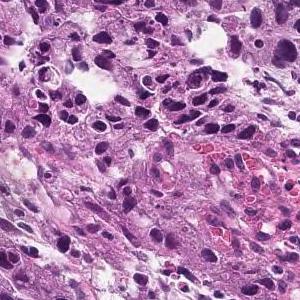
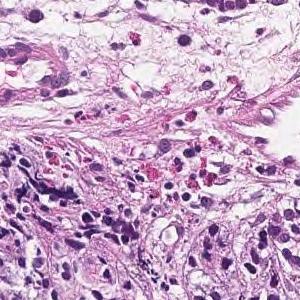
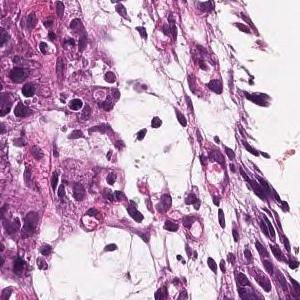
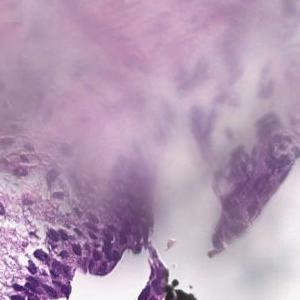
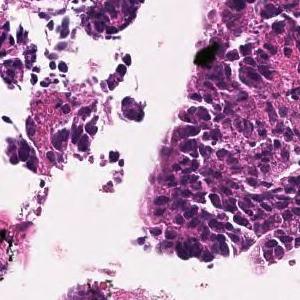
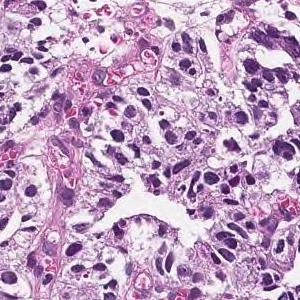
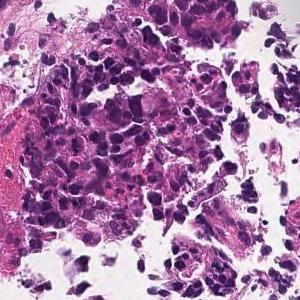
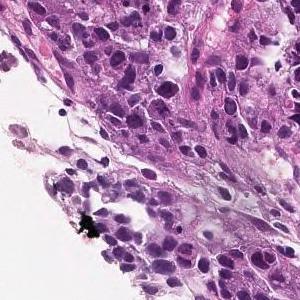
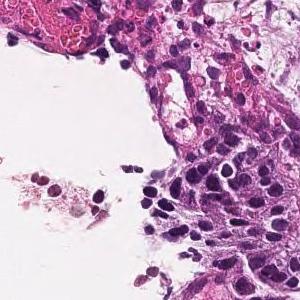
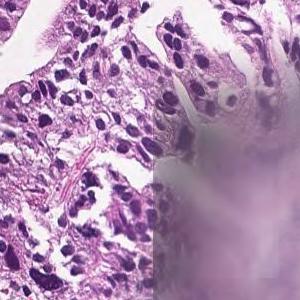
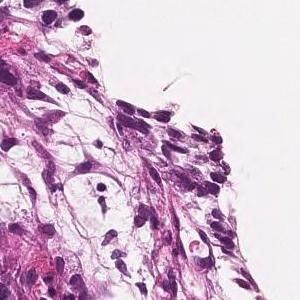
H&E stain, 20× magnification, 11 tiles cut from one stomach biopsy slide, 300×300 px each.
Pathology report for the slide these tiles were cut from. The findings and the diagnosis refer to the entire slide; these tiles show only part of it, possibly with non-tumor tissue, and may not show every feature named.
In the superficial epithelium, tumor tissue that invades by forming medium-sized to small, irregular ducts is observed. moderately differentiated tubular adenocarcinoma.
